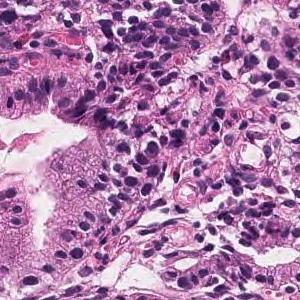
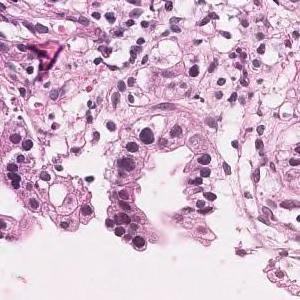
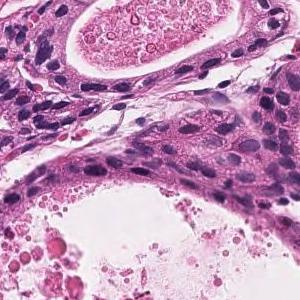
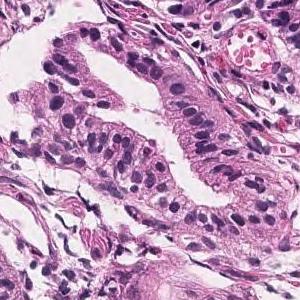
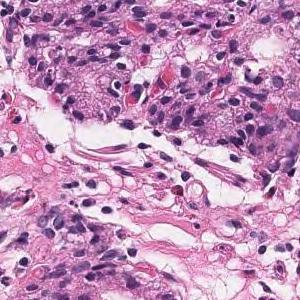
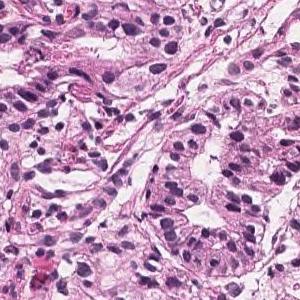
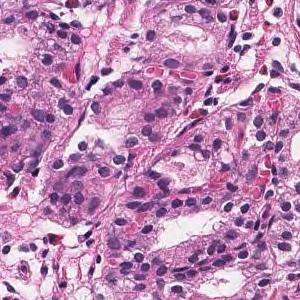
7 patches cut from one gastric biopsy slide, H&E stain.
Pathology report for the slide these tiles were cut from. What the report and the diagnosis say applies to the whole slide; these tiles may miss some of the features named and may include tissue that is not tumor.
On the superficial epithelium, tumor tissue consisting of large, irregular glandular ducts partially fused and infiltrated is observed. Well differentiated tubular adenocarcinoma
